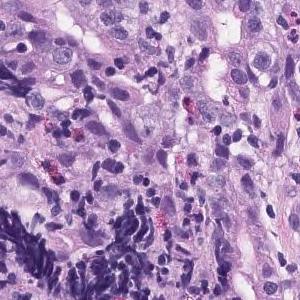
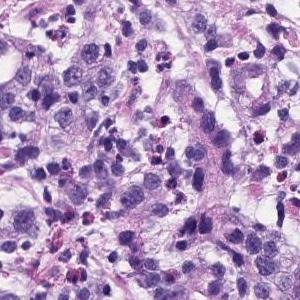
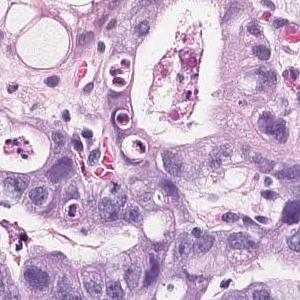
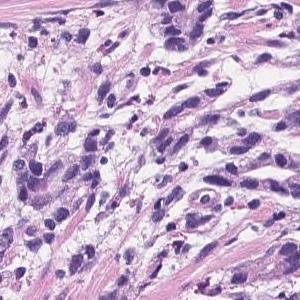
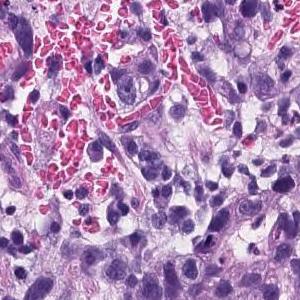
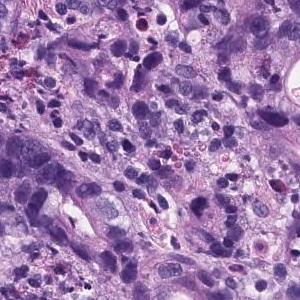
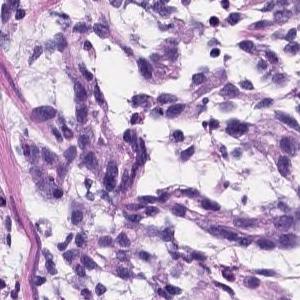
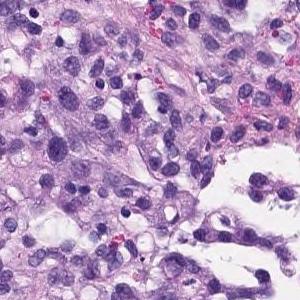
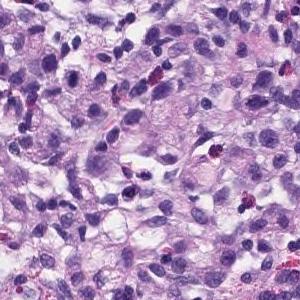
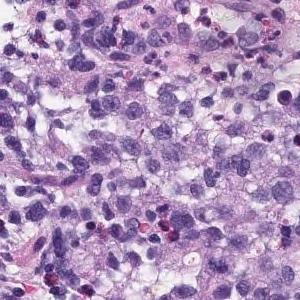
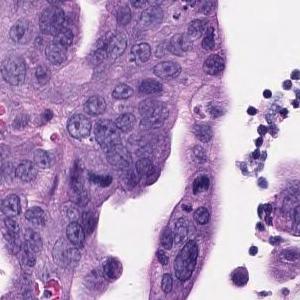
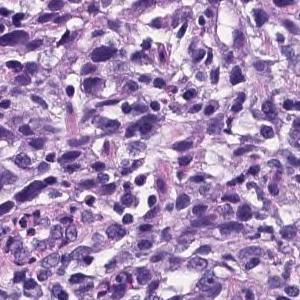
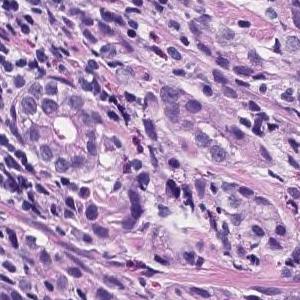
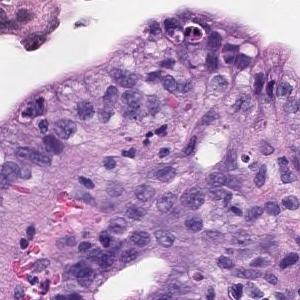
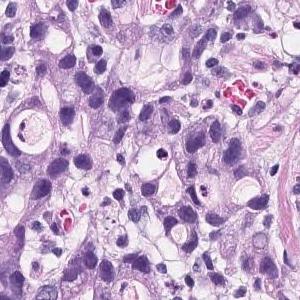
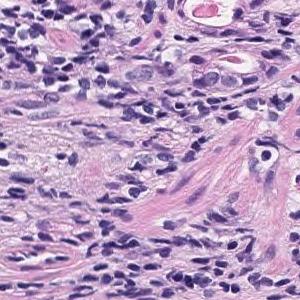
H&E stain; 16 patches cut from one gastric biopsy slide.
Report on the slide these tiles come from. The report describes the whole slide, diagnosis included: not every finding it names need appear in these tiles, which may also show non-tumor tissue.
There are atypical l cells with atypical nuclei forming cord-like or irregular atypical ducts from solidity and proliferating in a comprehensive manner. Poorly differentiated adenocarcinoma, Moderately differentiated adenocarcinoma (poorly differentiated adenocarcinoma, solid type moderately differentiated tubular adenocarcinoma)
Tumor subtype: moderately to poorly differentiated adenocarcinoma.
"Solid type" is a category of the Japanese Classification of Gastric Carcinoma; in the WHO 2019 classification it is tubular adenocarcinoma, poorly differentiated.
